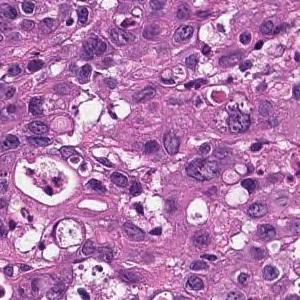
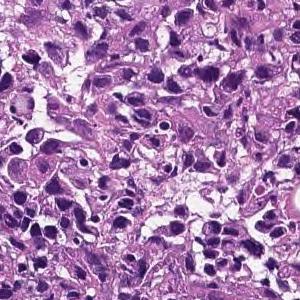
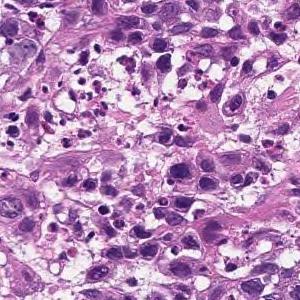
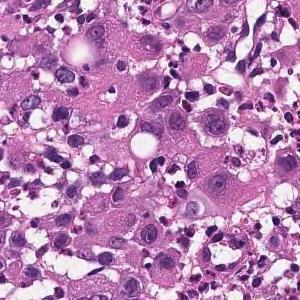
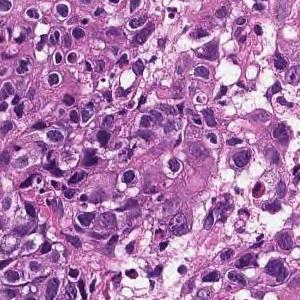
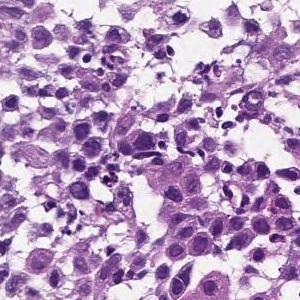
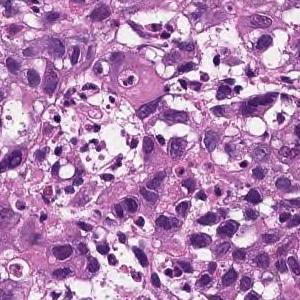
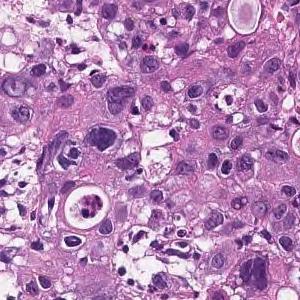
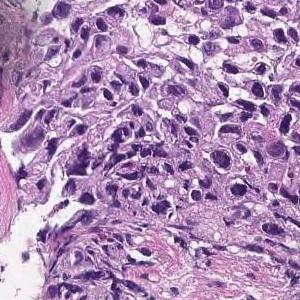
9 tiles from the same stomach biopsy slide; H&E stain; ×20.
Pathology report for the biopsy slide these tiles were cut from. The report describes the whole slide, diagnosis included: not every finding it names need appear in these tiles, which may also show non-tumor tissue.
The superficial epithelium shows a large sheet-like shape, and some tumor tissue infiltrates with small irregular ducts. Poorly differentiated adenocarcinoma, solid-type
Histologic type: Poorly differentiated adenocarcinoma, solid type (Japanese Classification of Gastric Carcinoma). The WHO 2019 equivalent is tubular adenocarcinoma, poorly differentiated.
